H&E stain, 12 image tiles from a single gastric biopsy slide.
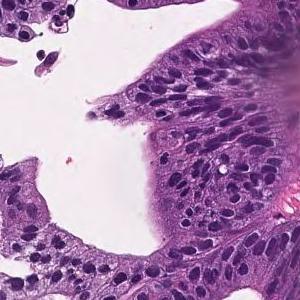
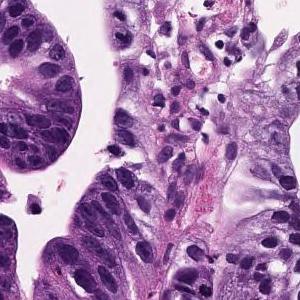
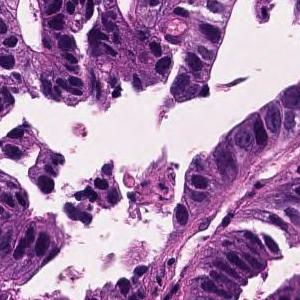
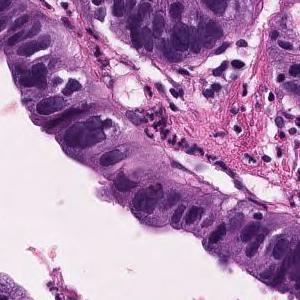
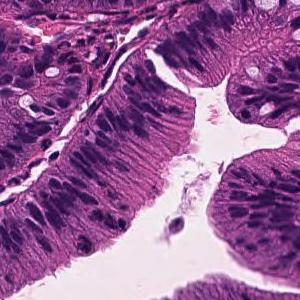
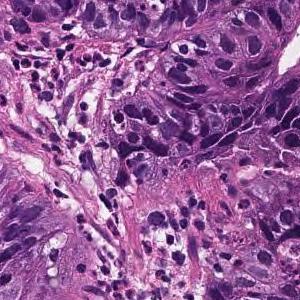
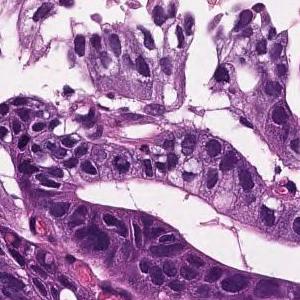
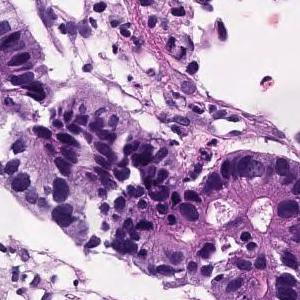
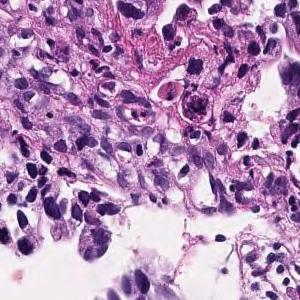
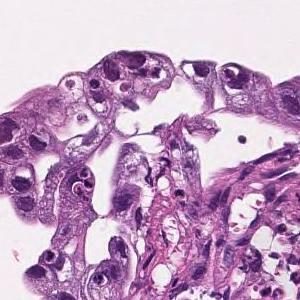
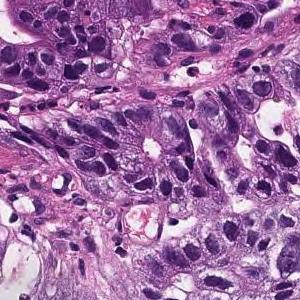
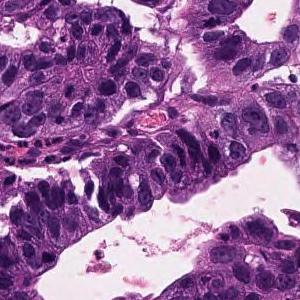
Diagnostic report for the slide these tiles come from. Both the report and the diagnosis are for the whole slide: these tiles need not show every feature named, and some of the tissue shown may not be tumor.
Tumor cells are large, highly columnar, large club-shaped nuclei, and are associated with chromatin aggregation. Papillary adenocarcinoma.
